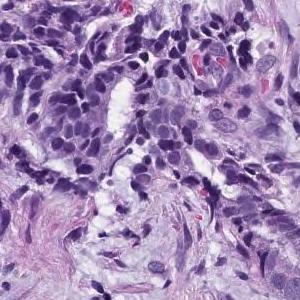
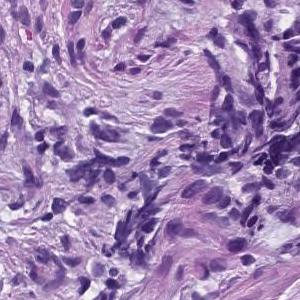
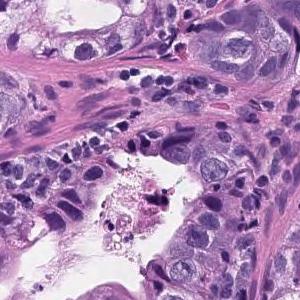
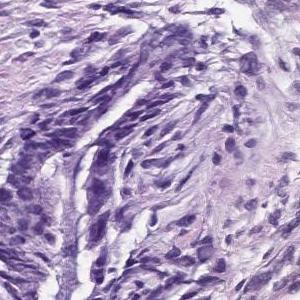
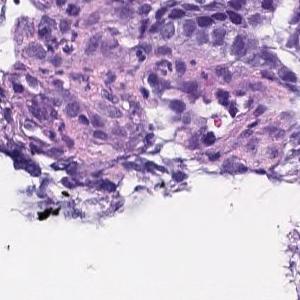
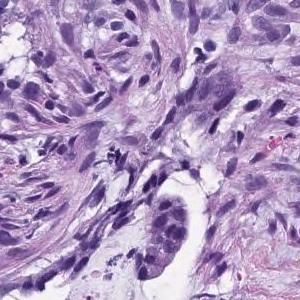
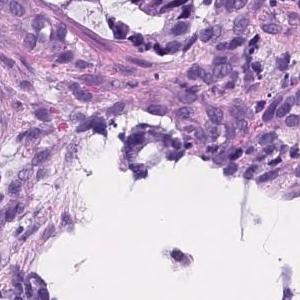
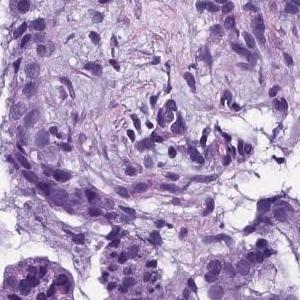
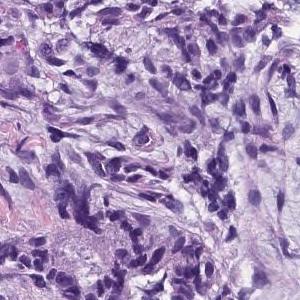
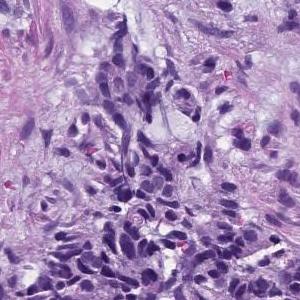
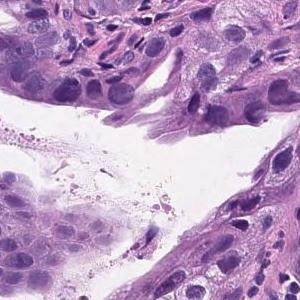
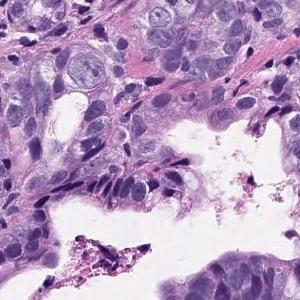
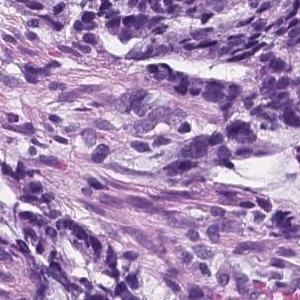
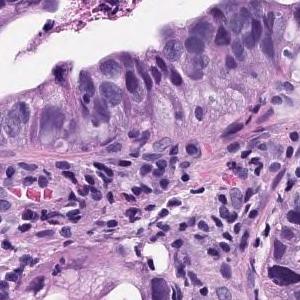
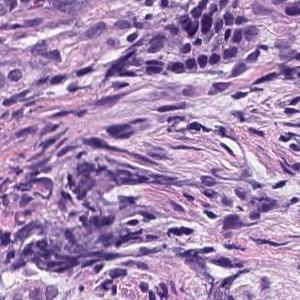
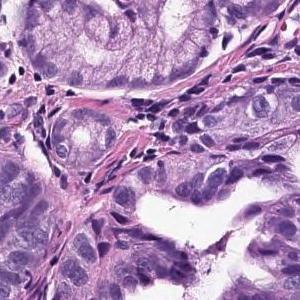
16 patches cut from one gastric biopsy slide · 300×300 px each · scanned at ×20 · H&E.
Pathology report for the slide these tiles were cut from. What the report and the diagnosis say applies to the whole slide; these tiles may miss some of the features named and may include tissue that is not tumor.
In the superficial epithelium, tumor tissue that invades by forming medium-sized to small, irregular ducts is observed. Moderately differentiated adenocarcinoma.
Histologic type: Moderately differentiated tubular adenocarcinoma.
